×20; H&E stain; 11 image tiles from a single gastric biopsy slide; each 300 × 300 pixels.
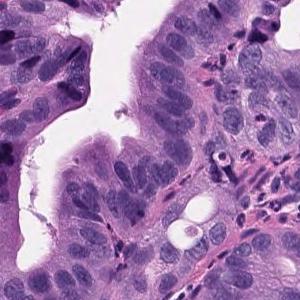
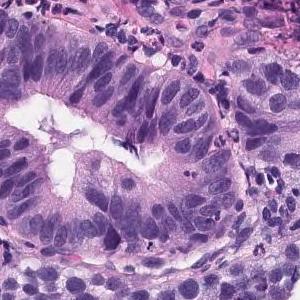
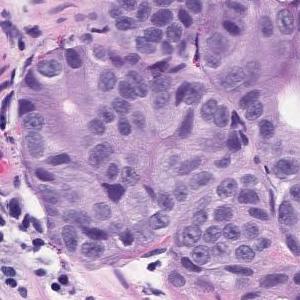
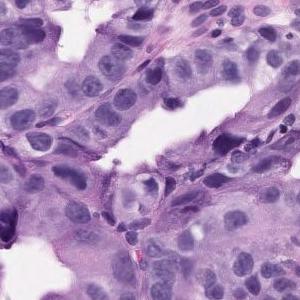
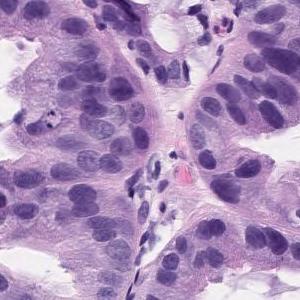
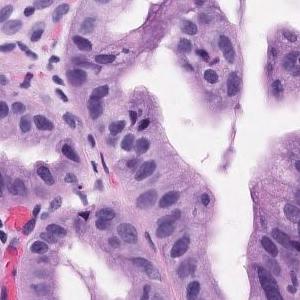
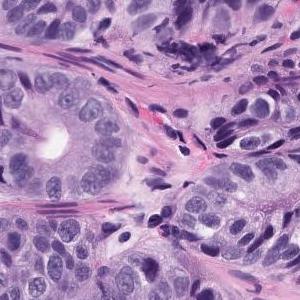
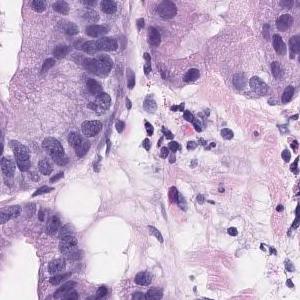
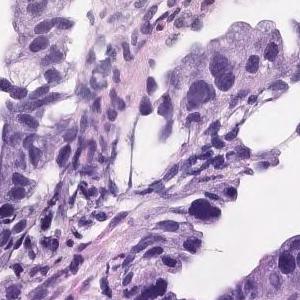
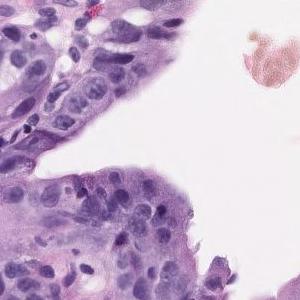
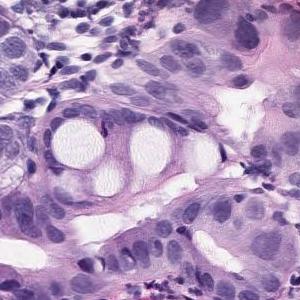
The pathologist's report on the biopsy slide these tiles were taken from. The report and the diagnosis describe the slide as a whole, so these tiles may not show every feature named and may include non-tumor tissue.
Tumor tissue consisting of medium-sized and irregular ducts is observed infiltrating in the superficial epithelium. Tumor cells are highly columnar, with nuclei aligned basolaterally and polarized. Well differentiated tubular adenocarcinoma.
